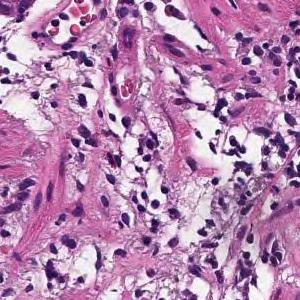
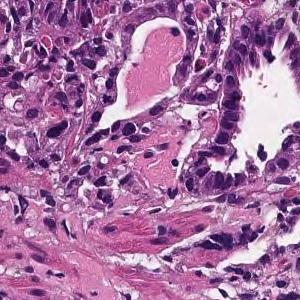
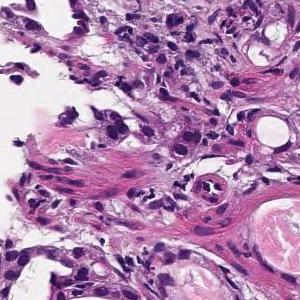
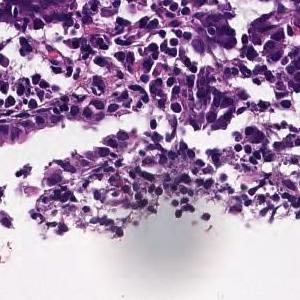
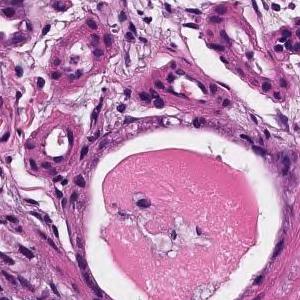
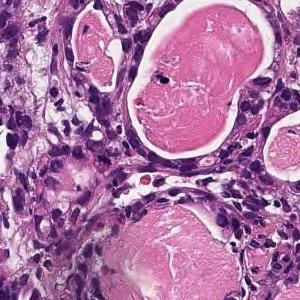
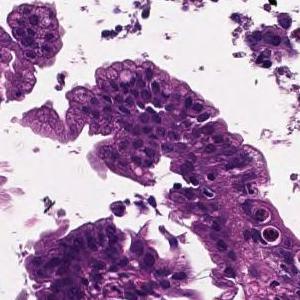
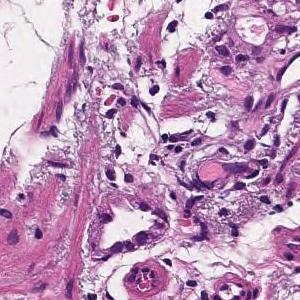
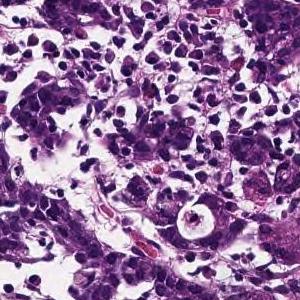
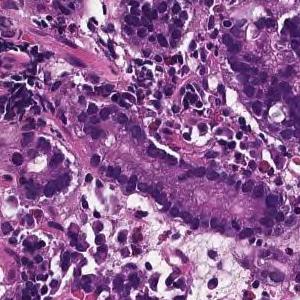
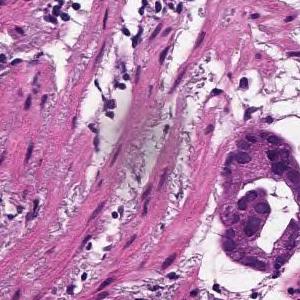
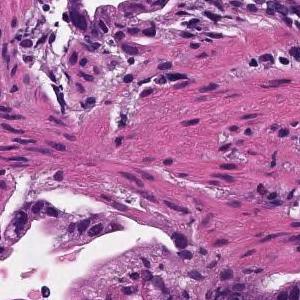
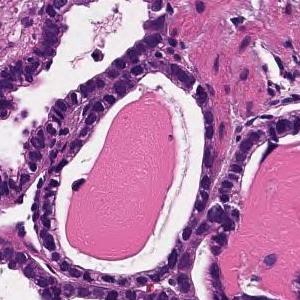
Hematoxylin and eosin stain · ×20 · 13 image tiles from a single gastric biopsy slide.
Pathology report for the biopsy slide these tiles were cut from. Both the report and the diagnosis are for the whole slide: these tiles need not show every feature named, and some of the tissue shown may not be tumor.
Tumor tissue consisting of medium-sized, cord-like or irregular glandular infiltration is observed in the superficial epithelium. Poorly differentiated adenocarcinoma, non-solid type or moderately differentiated tubular adenocarcinoma
Subtype: Moderately to poorly differentiated adenocarcinoma.
The non-solid type named here is a Japanese Classification of Gastric Carcinoma category.
